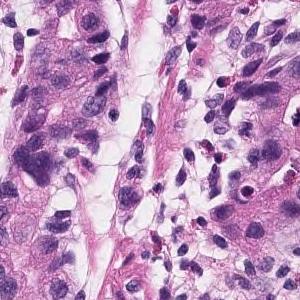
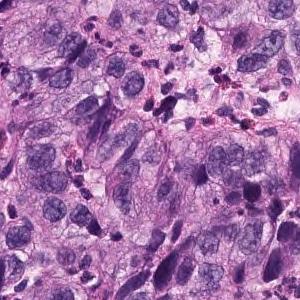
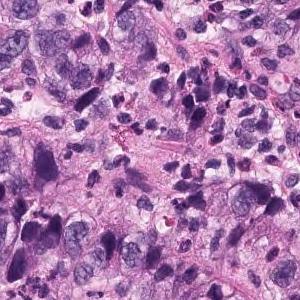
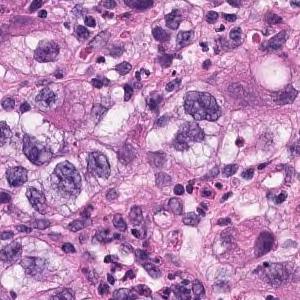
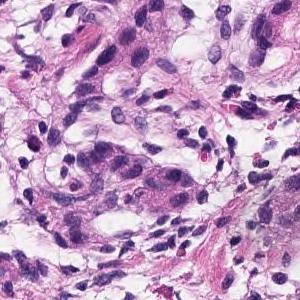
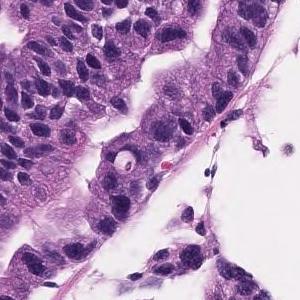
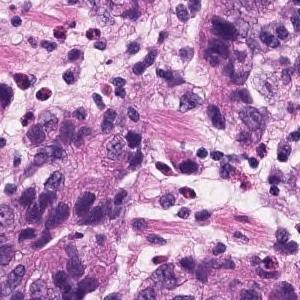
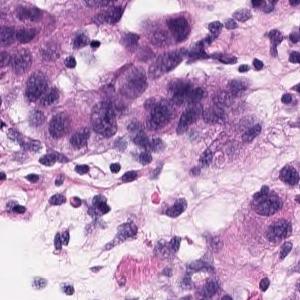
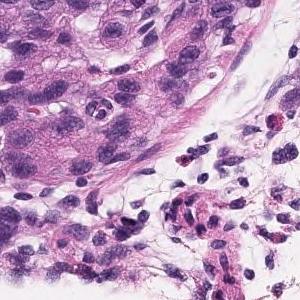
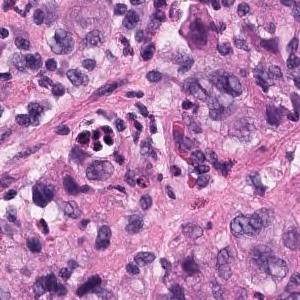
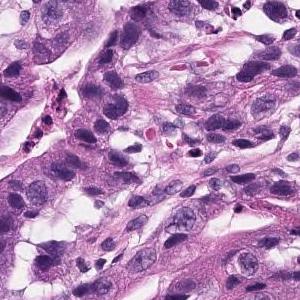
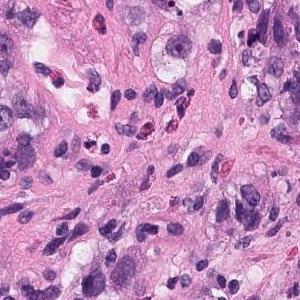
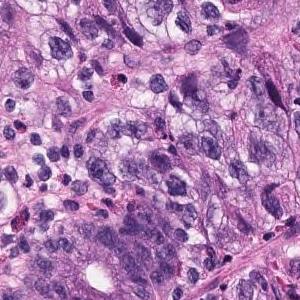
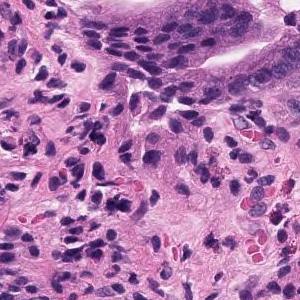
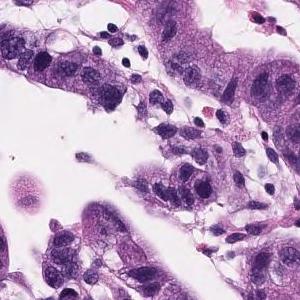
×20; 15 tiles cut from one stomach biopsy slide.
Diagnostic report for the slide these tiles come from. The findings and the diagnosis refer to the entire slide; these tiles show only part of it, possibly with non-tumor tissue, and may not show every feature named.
Atypical l cells with atypical nuclei forming diffuse or small irregular atypical ducts and growing. Moderately to poorly differentiated adenocarcinoma (poorly differentiated adenocarcinoma, solid type, moderately differentiated tubular adenocarcinoma)
Tumor subtype: moderately to poorly differentiated adenocarcinoma.
"Solid type" is a category of the Japanese Classification of Gastric Carcinoma; in the WHO 2019 classification it is tubular adenocarcinoma, poorly differentiated.
